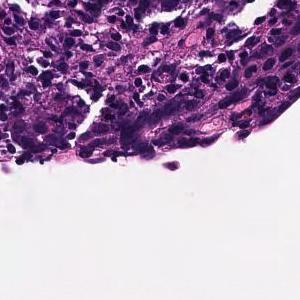
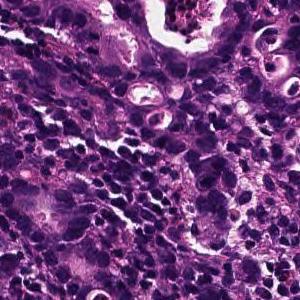
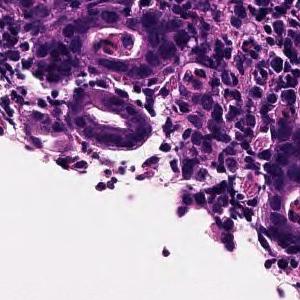
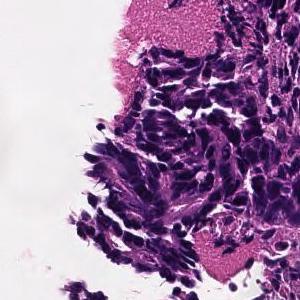
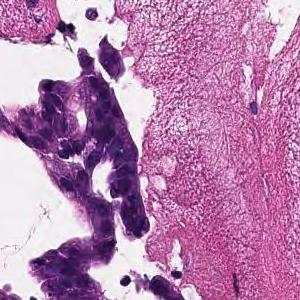
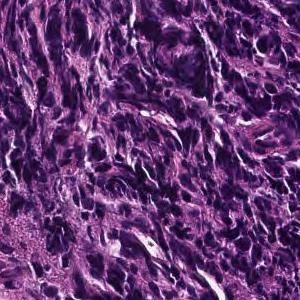
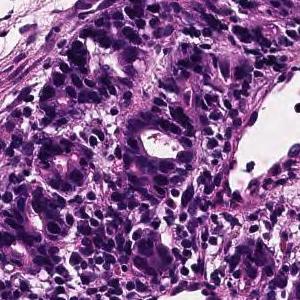
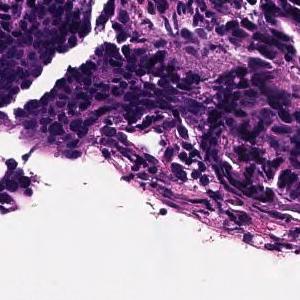
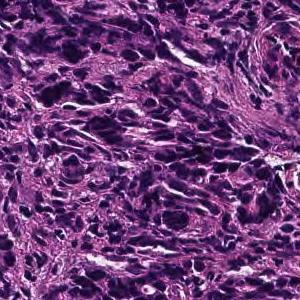
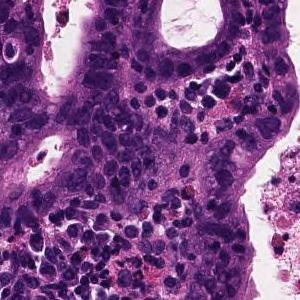
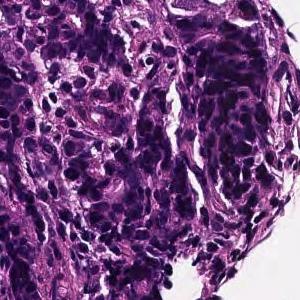
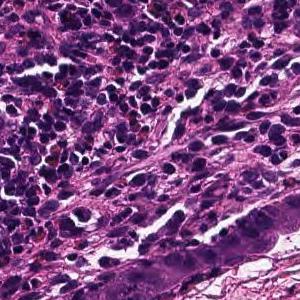
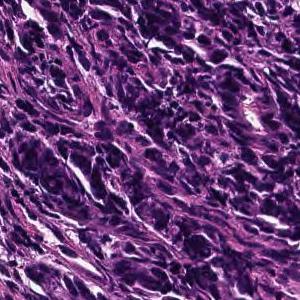
13 patches cut from one gastric biopsy slide; H&E stain.
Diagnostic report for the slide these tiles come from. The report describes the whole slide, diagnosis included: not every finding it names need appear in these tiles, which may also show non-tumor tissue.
On the superficial epithelium, tumor tissue is found in which medium-sized irregular gland ducts fuse with each other and infiltrate. moderately differentiated tubular adenocarcinoma or Poorly differentiated adenocarcinoma, non-solid type
Histological subtype: Moderately to poorly differentiated adenocarcinoma.
The non-solid type named here is a Japanese Classification of Gastric Carcinoma category.
